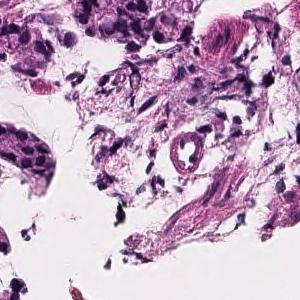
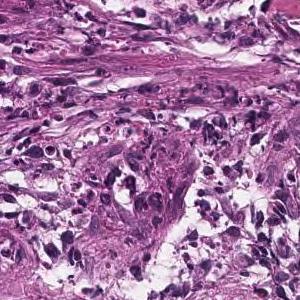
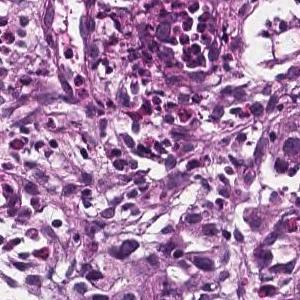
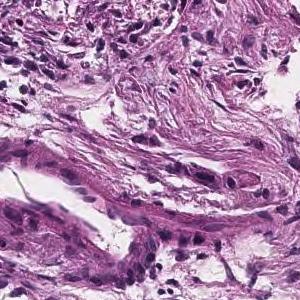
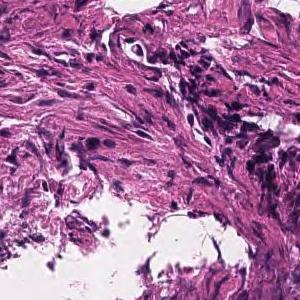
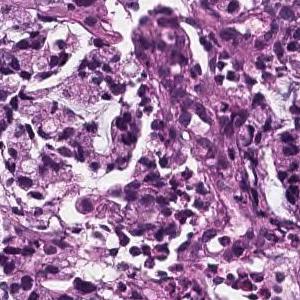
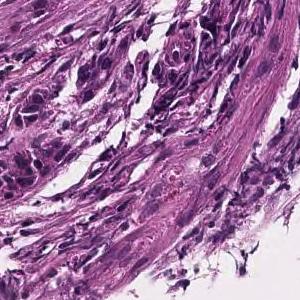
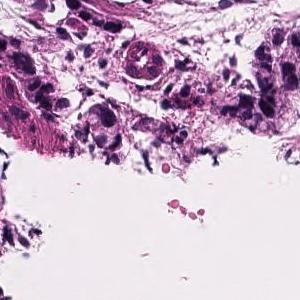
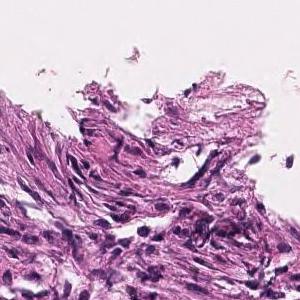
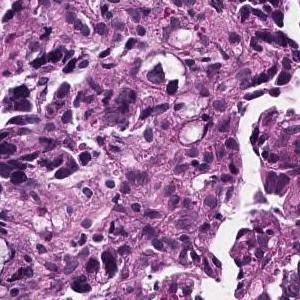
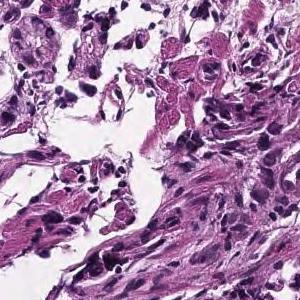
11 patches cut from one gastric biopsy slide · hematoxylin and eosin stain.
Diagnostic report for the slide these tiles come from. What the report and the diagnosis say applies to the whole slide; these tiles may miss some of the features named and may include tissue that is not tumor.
Atypical epithelial cells form obscure ductal structures or small solid follicles, and tumor tissue that proliferates invasively with proliferation of inflammatory granulation tissue is observed. Mucinous adenocarcinoma .
